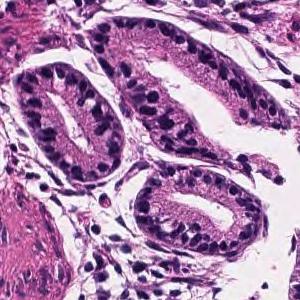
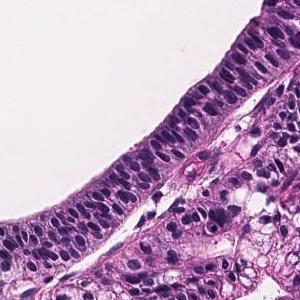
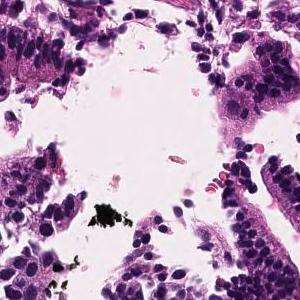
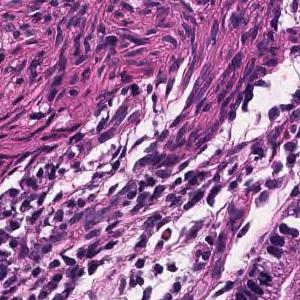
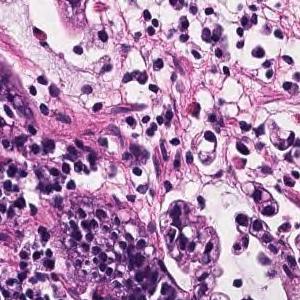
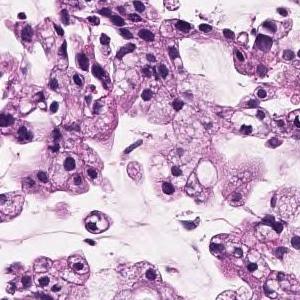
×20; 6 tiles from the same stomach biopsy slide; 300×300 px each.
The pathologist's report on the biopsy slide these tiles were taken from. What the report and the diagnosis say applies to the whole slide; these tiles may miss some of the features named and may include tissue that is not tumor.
Tumor tissue consisting of large papillary structures or irregular glandular ducts partially fused and infiltrated is observed in the superficial epithelium. Well to moderately differentiated tubular adenocarcinoma.
Dataset label: moderately differentiated tubular adenocarcinoma.
